Hematoxylin and eosin stain, 20× magnification, 5 patches cut from one gastric biopsy slide.
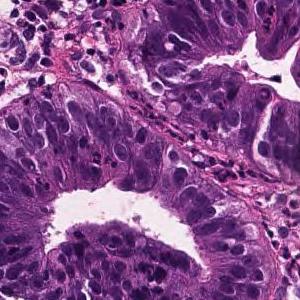
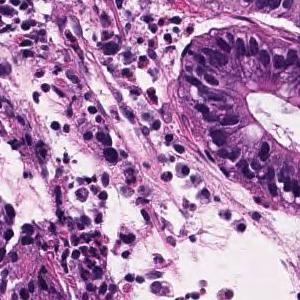
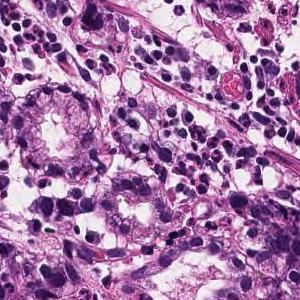
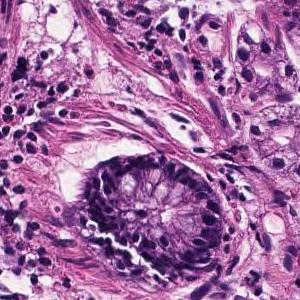
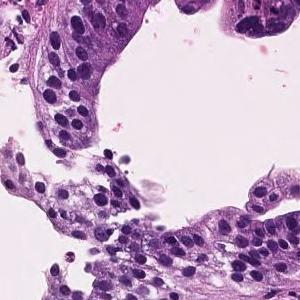
Diagnostic report for the slide these tiles come from. What the report and the diagnosis say applies to the whole slide; these tiles may miss some of the features named and may include tissue that is not tumor.
In the superficial epithelium, tumor tissue that invades by forming medium-sized to small, irregular ducts is observed. moderately differentiated tubular adenocarcinoma.
